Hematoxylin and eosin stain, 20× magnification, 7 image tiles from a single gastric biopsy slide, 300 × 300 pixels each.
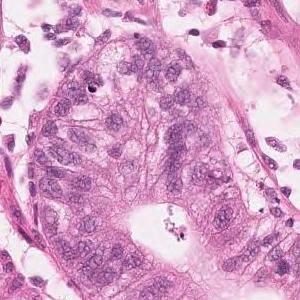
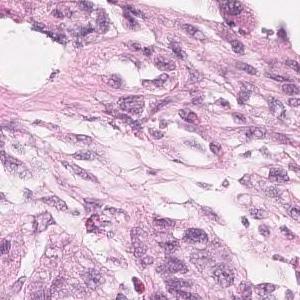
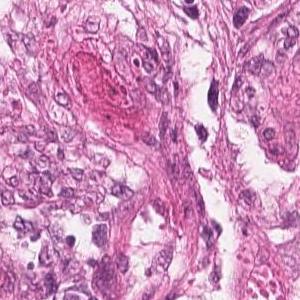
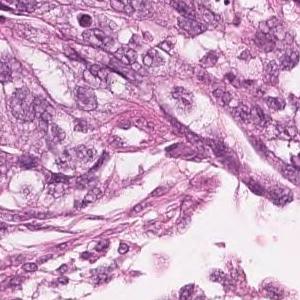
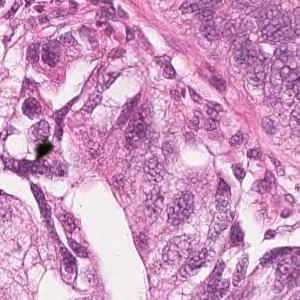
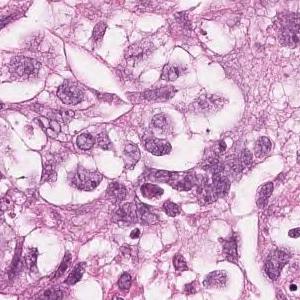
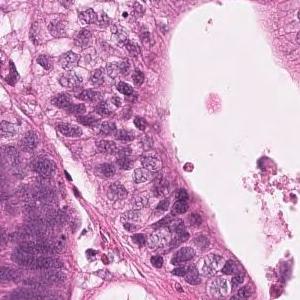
Pathology report for the biopsy slide these tiles were cut from. The report and the diagnosis cover the entire slide, so not every feature they name need be visible here, and some tissue shown may not be tumor.
Highly columnar epithelium with disordered nuclear localization proliferates showing fusion ductal construction. moderately differentiated tubular adenocarcinoma
